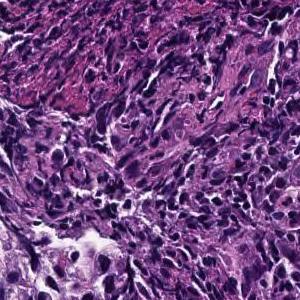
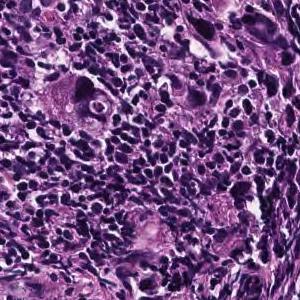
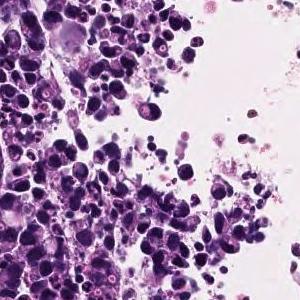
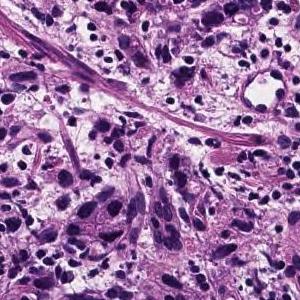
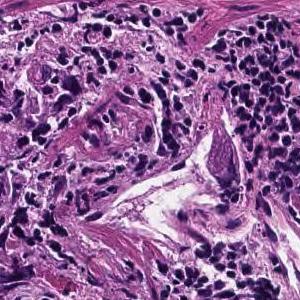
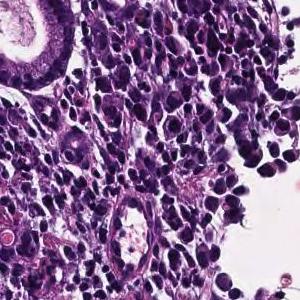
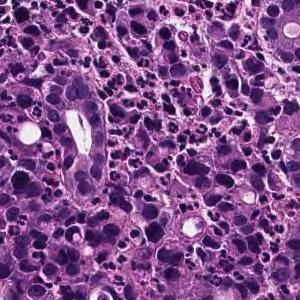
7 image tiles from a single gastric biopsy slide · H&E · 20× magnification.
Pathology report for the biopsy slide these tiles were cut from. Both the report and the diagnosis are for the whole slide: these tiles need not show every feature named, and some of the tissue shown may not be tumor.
The superficial epithelium shows a large sheet-like shape, and some tumor tissue infiltrates with small irregular ducts. Poorly differentiated adenocarcinoma, solid-type
Subtype: Poorly differentiated adenocarcinoma, solid type, a category of the Japanese Classification of Gastric Carcinoma; in the WHO 2019 classification it is tubular adenocarcinoma, poorly differentiated.
